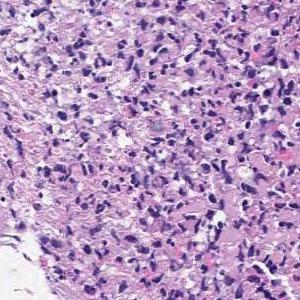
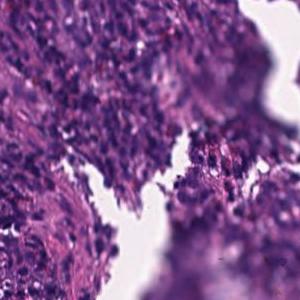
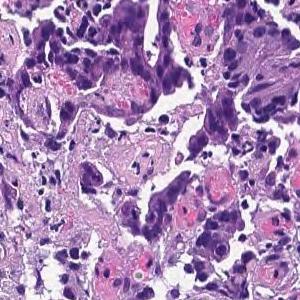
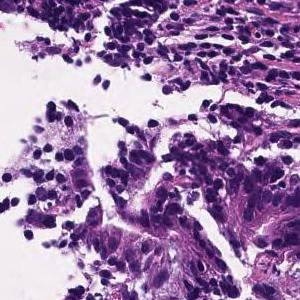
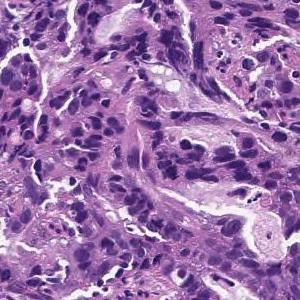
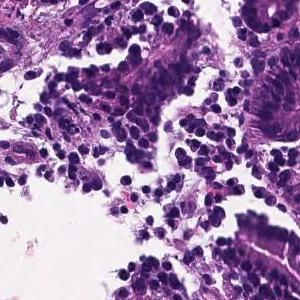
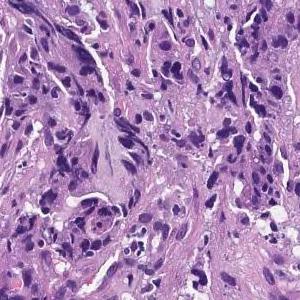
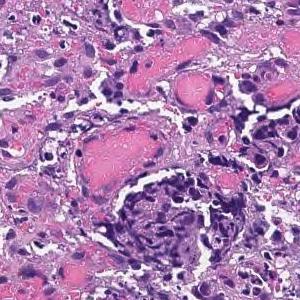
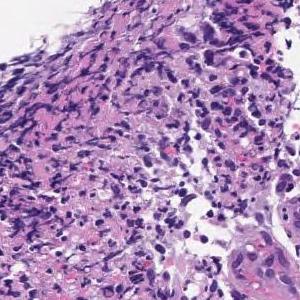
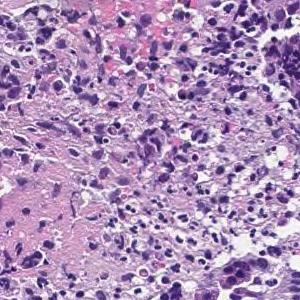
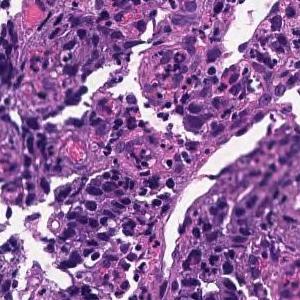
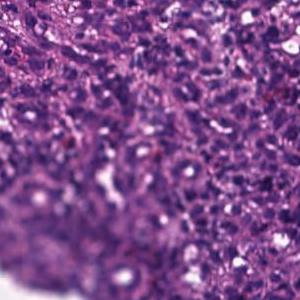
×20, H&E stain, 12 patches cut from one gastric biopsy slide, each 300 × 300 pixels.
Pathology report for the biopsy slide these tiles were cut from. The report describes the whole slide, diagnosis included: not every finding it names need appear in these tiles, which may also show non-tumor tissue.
On the superficial epithelium, tumor tissue consisting of large irregular glandular ducts partially fused and infiltrated is observed. Well to moderately differentiated tubular adenocarcinoma (well differentiated tubular adenocarcinoma, moderately differentiated tubular adenocarcinoma)
Histologic type: Well to moderately differentiated tubular adenocarcinoma.
